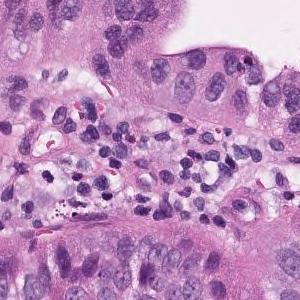
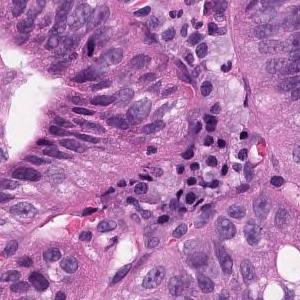
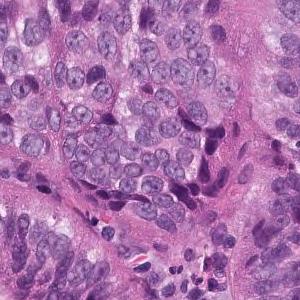
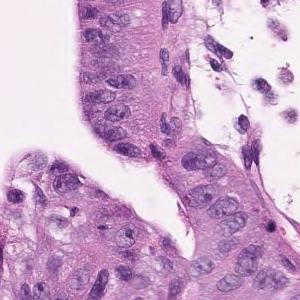
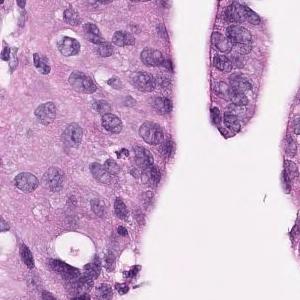
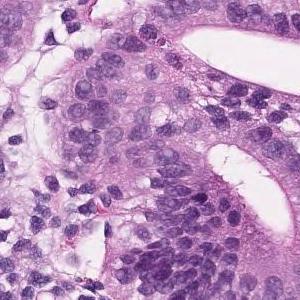
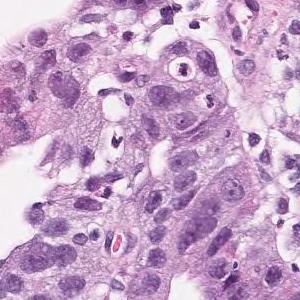
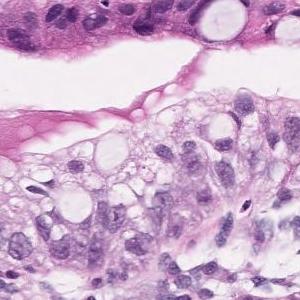
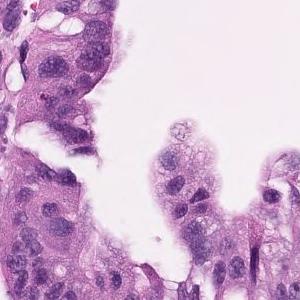
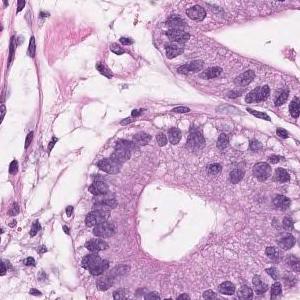
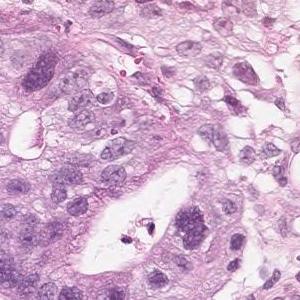
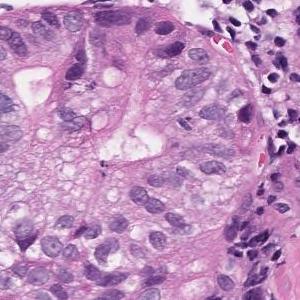
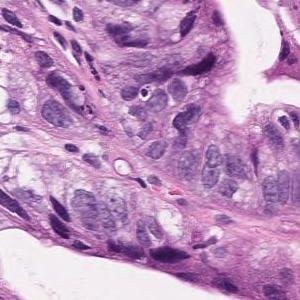
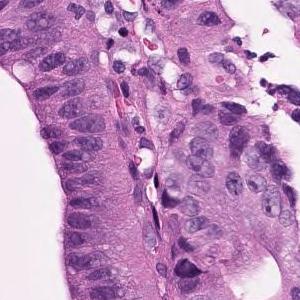
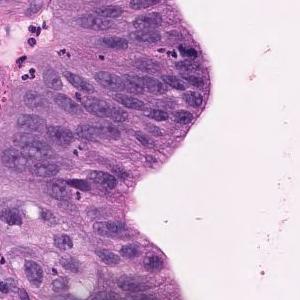
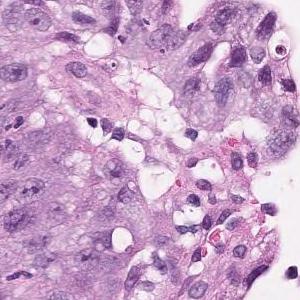
H&E, ×20, 16 patches cut from one gastric biopsy slide.
Pathology report for the biopsy slide these tiles were cut from. What the report and the diagnosis say applies to the whole slide; these tiles may miss some of the features named and may include tissue that is not tumor.
On the superficial epithelium, tumor tissue consisting of medium to small irregular tubules partially fused and proliferated is observed. Well differentiated tubular adenocarcinoma
